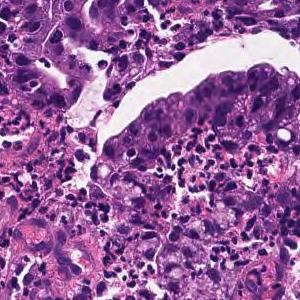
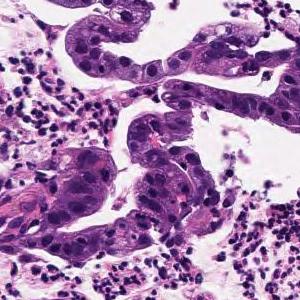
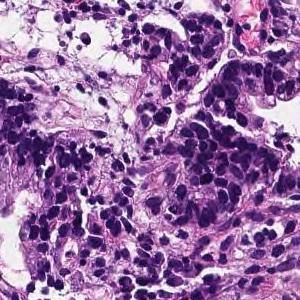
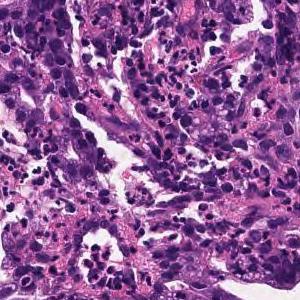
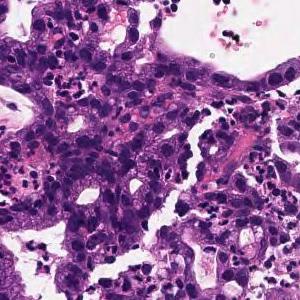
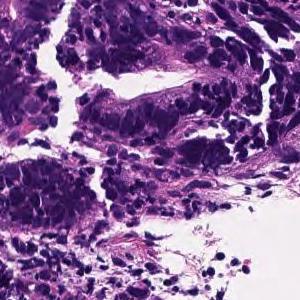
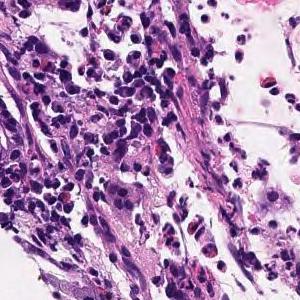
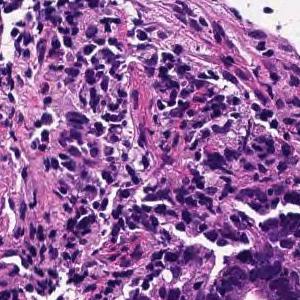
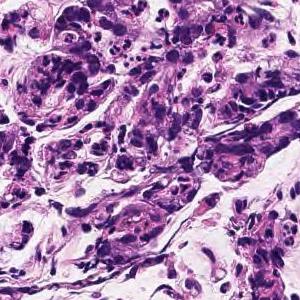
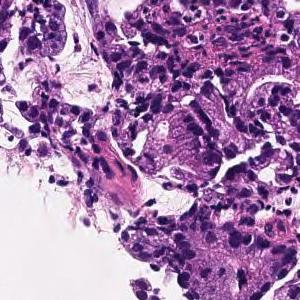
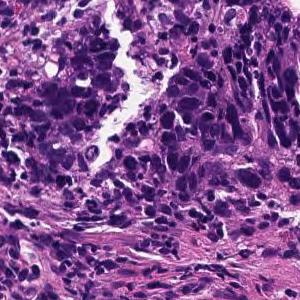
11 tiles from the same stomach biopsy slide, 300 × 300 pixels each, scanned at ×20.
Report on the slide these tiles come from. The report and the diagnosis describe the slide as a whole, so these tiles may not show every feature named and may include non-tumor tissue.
On the superficial epithelium, tumor tissue consisting of large, irregular glandular ducts partially fused and infiltrated is observed. Well to moderately differentiated tubular adenocarcinoma (well differentiated tubular adenocarcinoma, moderately differentiated tubular adenocarcinoma)
Histological subtype: Well to moderately differentiated tubular adenocarcinoma.
